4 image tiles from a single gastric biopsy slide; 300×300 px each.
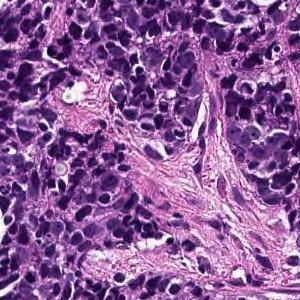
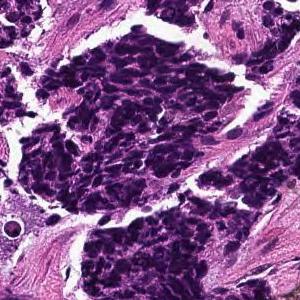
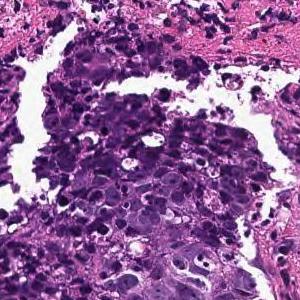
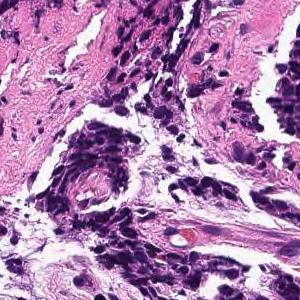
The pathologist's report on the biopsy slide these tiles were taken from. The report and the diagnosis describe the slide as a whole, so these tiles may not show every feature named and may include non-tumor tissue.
The superficial epithelium shows a large sheet or alveolar shape, and tumor tissue infiltrating without irregular ducts is observed. Poorly differentiated adenocarcinoma, solid-type
Subtype: Poorly differentiated adenocarcinoma, solid type. This name comes from the Japanese Classification of Gastric Carcinoma; the WHO 2019 classification calls it tubular adenocarcinoma, poorly differentiated.
